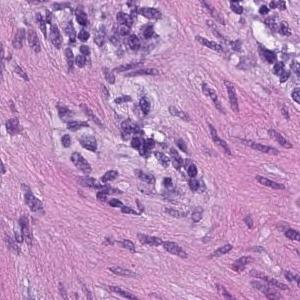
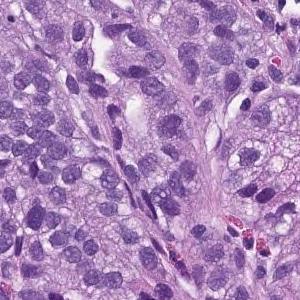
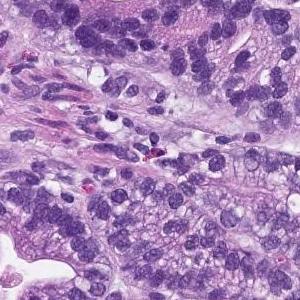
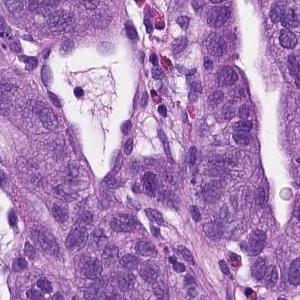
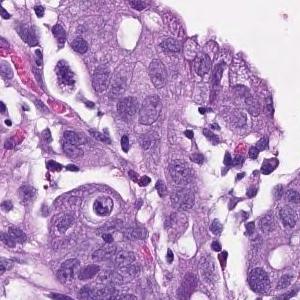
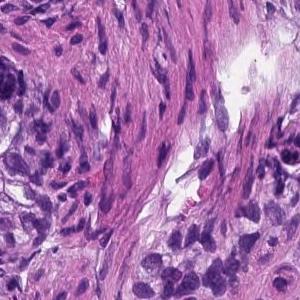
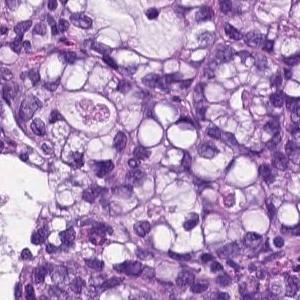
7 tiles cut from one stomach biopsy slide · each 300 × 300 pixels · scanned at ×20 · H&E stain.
The pathologist's report on the biopsy slide these tiles were taken from. The findings and the diagnosis refer to the entire slide; these tiles show only part of it, possibly with non-tumor tissue, and may not show every feature named.
From the superficial epithelium to the muscularis mucosae, tumor tissue consisting of medium-sized and irregular glandular ducts infiltrating is observed. Well differentiated tubular adenocarcinoma
